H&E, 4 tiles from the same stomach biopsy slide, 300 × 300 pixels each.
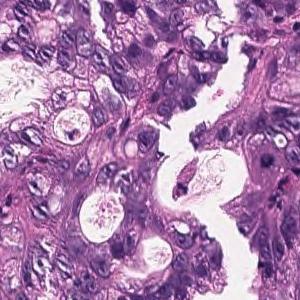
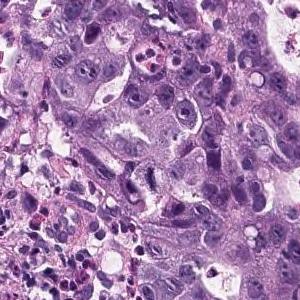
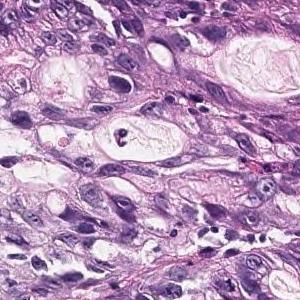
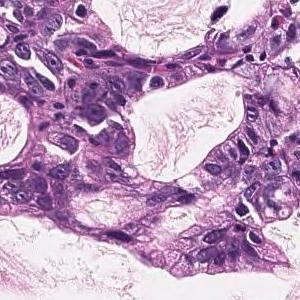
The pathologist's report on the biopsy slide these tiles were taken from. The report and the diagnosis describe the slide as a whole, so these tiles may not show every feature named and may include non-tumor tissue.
Tumor cells are large, highly columnar, large club-shaped nuclei, and are associated with chromatin aggregation. Papillary adenocarcinoma.
